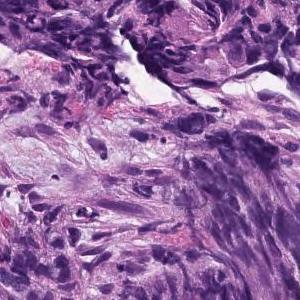
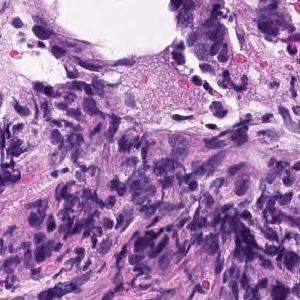
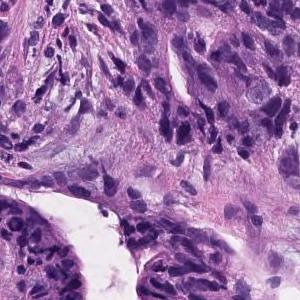
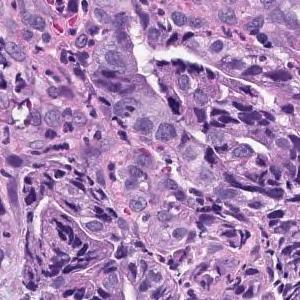
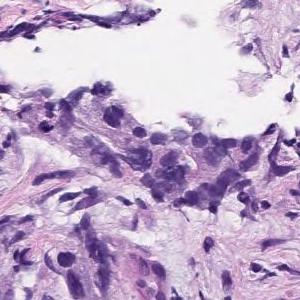
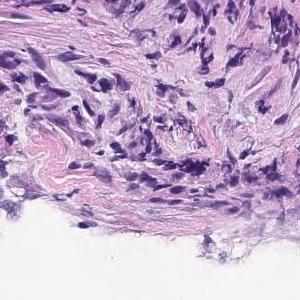
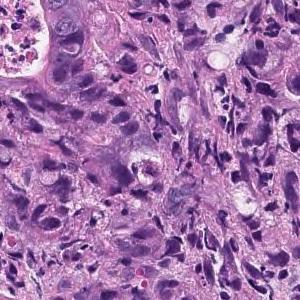
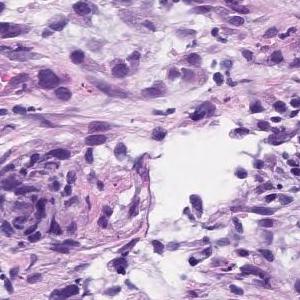
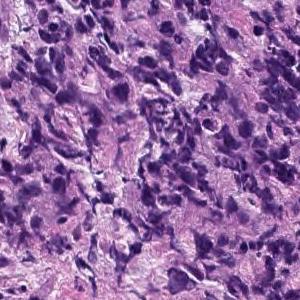
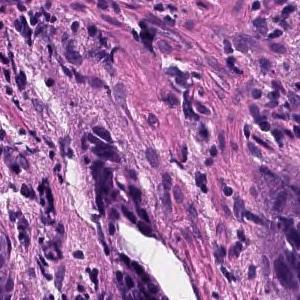
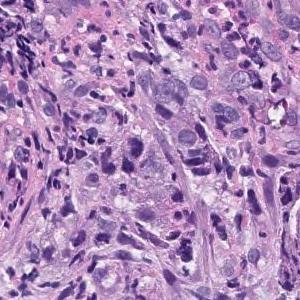
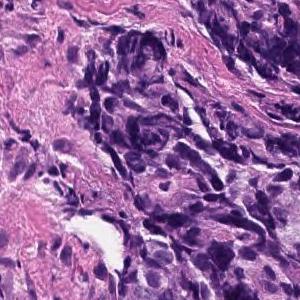
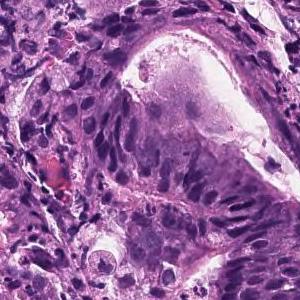
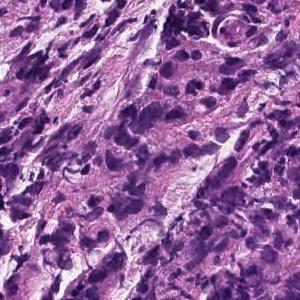
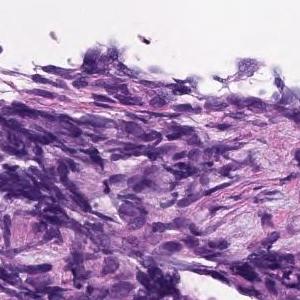
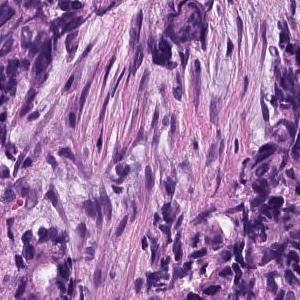
16 tiles cut from one stomach biopsy slide, H&E stain, 20× magnification.
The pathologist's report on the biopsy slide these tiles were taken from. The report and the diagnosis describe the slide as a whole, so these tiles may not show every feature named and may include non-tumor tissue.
Medium to small, irregular glandular ducts are formed in the superficial epithelium, and in some cases, the glandular ducts are fused to show solid alveolar lesions and infiltrating tumor tissue is observed. Moderately to poorly differentiated adenocarcinoma.
